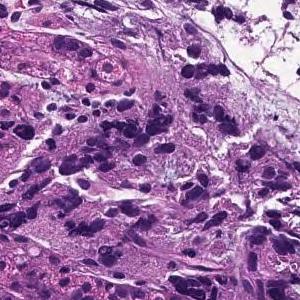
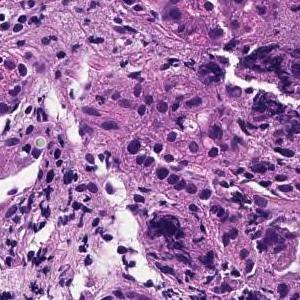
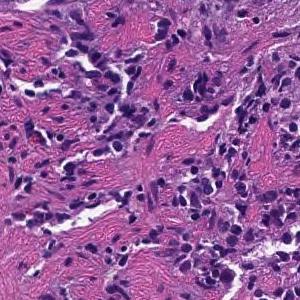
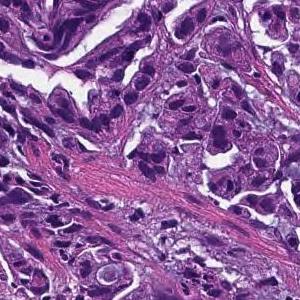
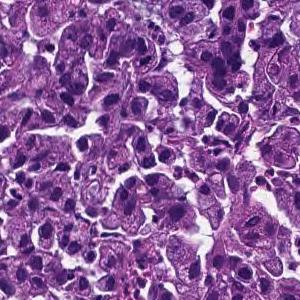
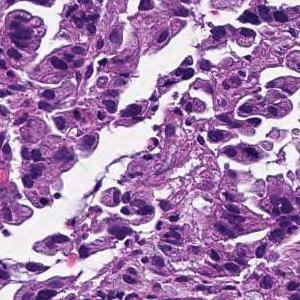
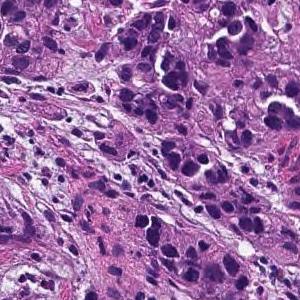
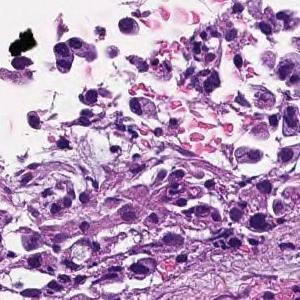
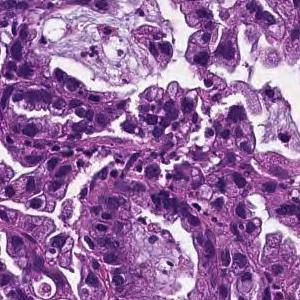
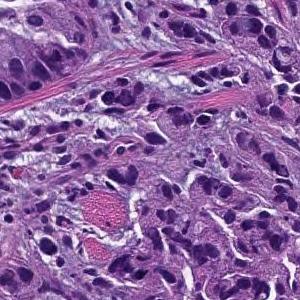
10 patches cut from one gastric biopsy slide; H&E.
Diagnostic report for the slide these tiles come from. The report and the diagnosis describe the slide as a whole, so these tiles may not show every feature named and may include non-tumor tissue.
Tumor tissue consisting of medium-sized, cord-like or irregular glandular infiltration is observed in the superficial epithelium. Poorly differentiated adenocarcinoma, non-solid type or moderately differentiated tubular adenocarcinoma
Classified as moderately to poorly differentiated adenocarcinoma.
The non-solid type named here is a Japanese Classification of Gastric Carcinoma category.
